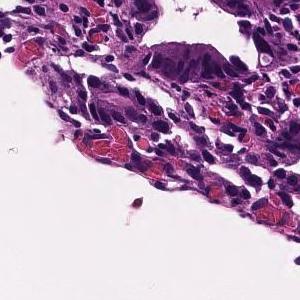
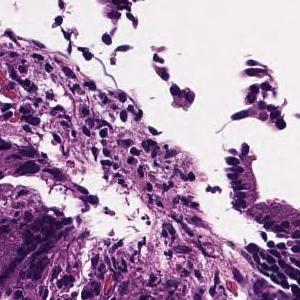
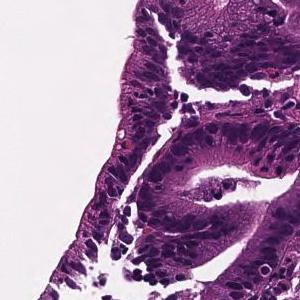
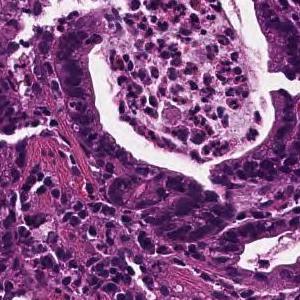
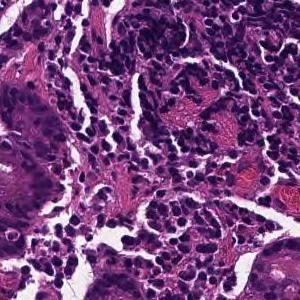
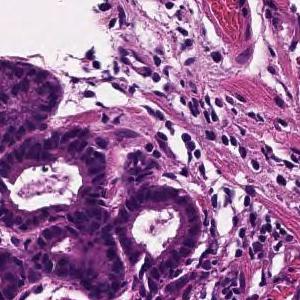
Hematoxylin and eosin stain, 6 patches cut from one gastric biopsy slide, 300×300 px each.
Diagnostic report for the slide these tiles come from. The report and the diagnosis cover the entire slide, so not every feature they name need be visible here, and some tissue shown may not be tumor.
From the superficial epithelium to the muscularis mucosae, tumor tissue consisting of medium-sized and irregular glandular ducts infiltrating is observed. Well differentiated tubular adenocarcinoma
